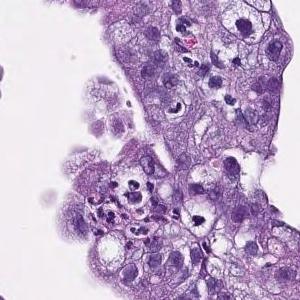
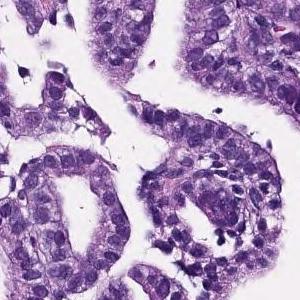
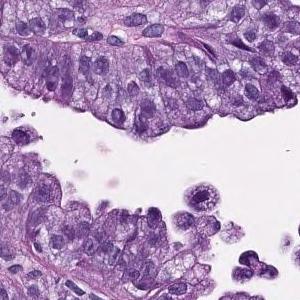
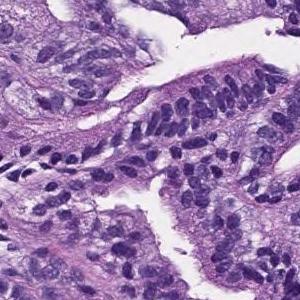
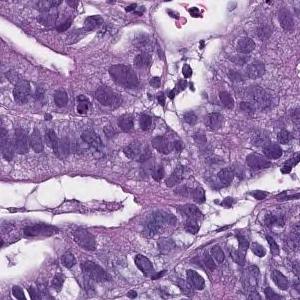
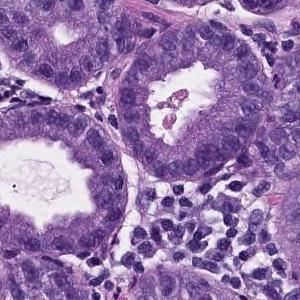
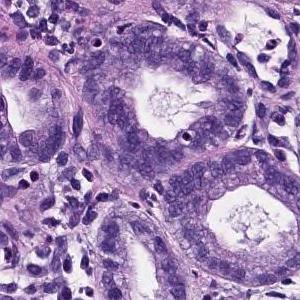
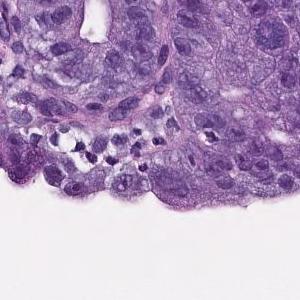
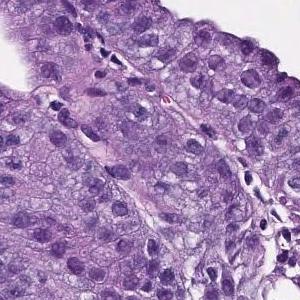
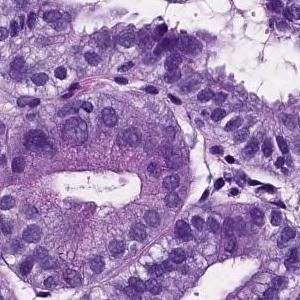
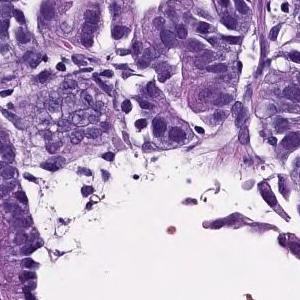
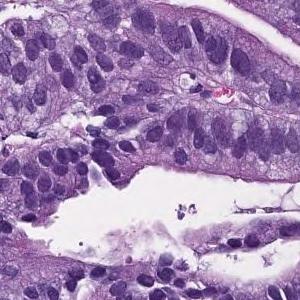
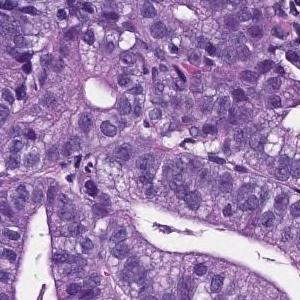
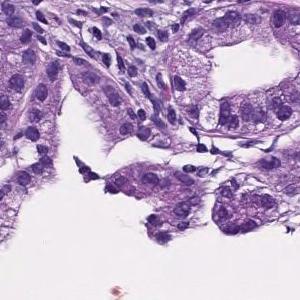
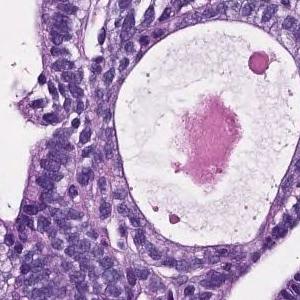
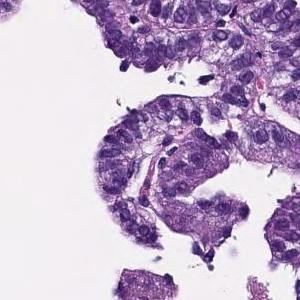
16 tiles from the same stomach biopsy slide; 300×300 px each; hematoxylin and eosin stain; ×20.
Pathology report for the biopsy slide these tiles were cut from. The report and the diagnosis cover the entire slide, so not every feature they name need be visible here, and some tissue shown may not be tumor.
On the superficial epithelium, tumor tissue that infiltrates by forming medium-sized papillary or small irregular ducts is observed. Papillary adenocarcinoma
